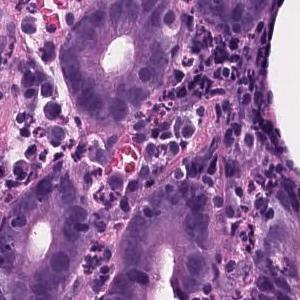
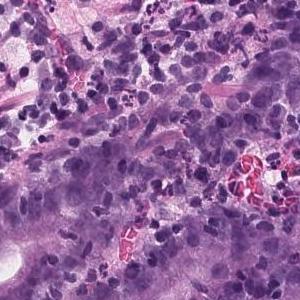
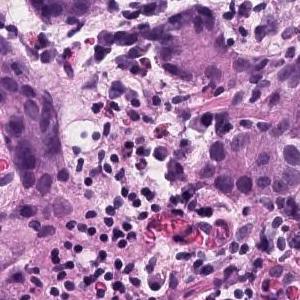
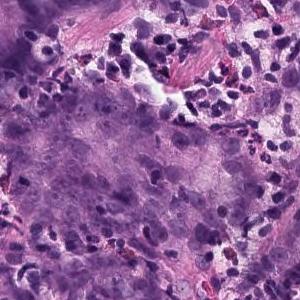
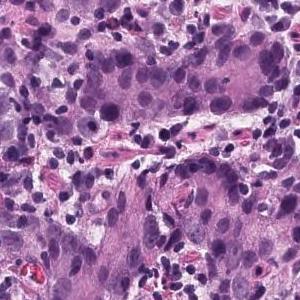
H&E stain, scanned at ×20, 5 tiles cut from one stomach biopsy slide, 300 × 300 pixels each.
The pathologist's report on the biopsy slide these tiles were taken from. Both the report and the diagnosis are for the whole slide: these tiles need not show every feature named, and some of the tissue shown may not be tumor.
In the superficial epithelium, tumor tissue that invades by forming medium-sized to small, irregular ducts is observed. Moderately differentiated adenocarcinoma.
Histologic type: Moderately differentiated tubular adenocarcinoma.
